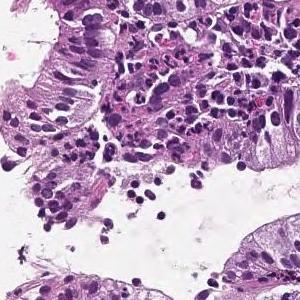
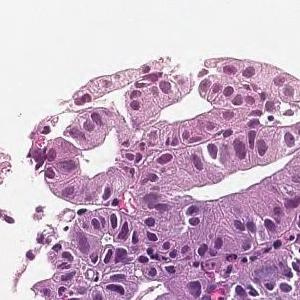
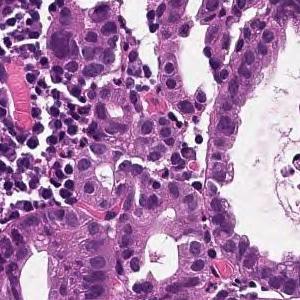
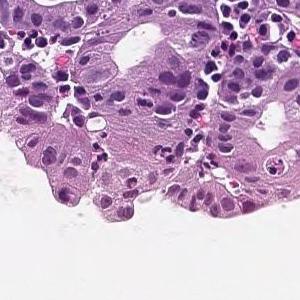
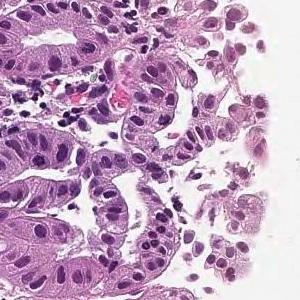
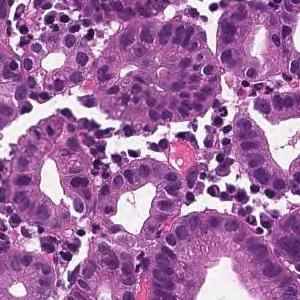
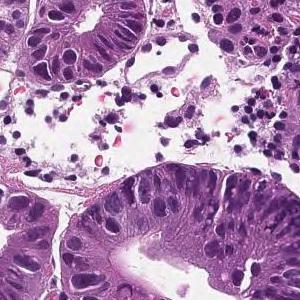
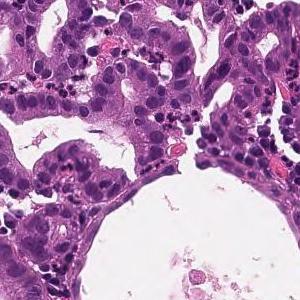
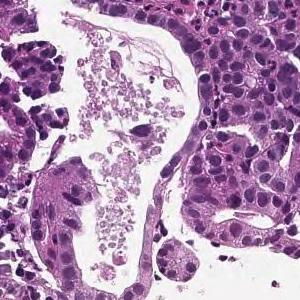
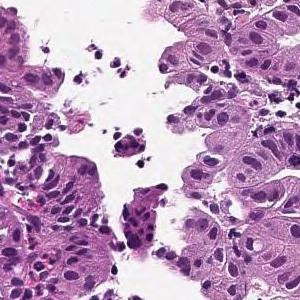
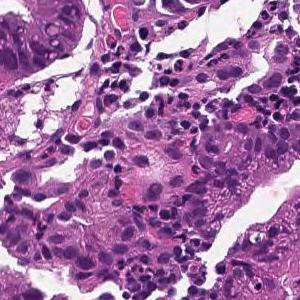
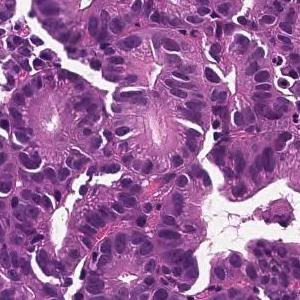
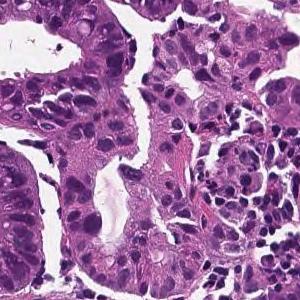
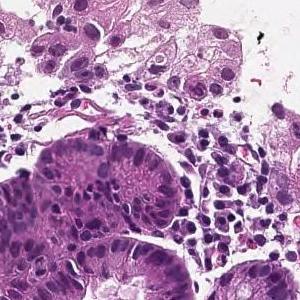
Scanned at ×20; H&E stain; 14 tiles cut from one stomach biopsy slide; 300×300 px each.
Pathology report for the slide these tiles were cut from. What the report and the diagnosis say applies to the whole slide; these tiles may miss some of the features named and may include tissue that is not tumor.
From the superficial epithelium to the muscularis mucosae, tumor tissue consisting of medium-sized and irregular glandular ducts infiltrating is observed. Well differentiated tubular adenocarcinoma
